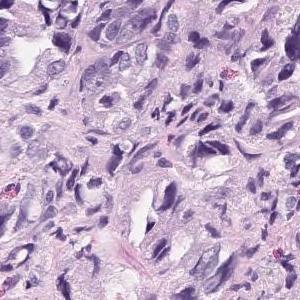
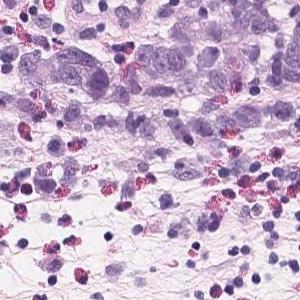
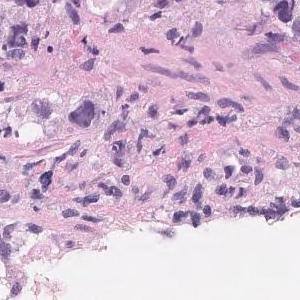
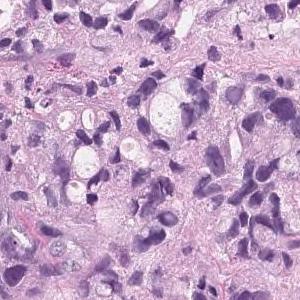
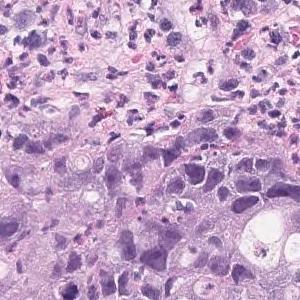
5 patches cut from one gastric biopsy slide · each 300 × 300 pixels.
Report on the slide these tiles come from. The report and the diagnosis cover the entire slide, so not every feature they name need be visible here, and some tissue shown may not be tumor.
Tumor tissue that infiltrates and proliferates by forming small glandular cavities in the superficial layer to the submucosa or forming a mass is observed. moderately differentiated tubular adenocarcinoma
